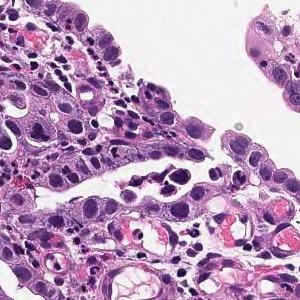
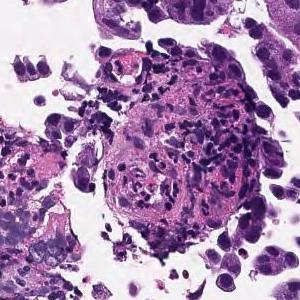
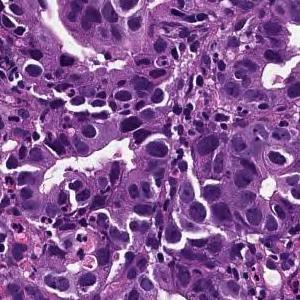
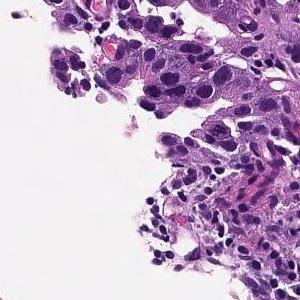
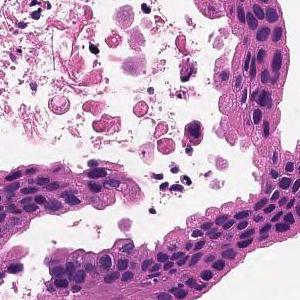
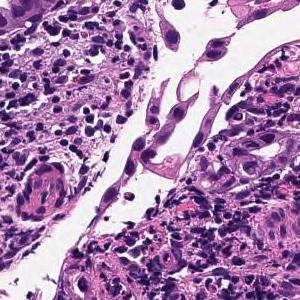
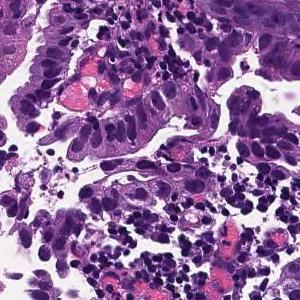
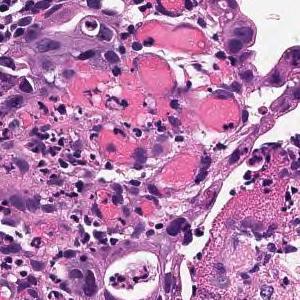
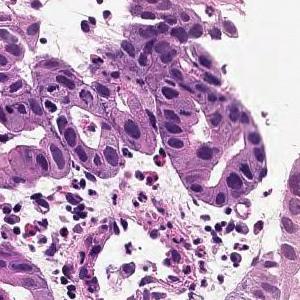
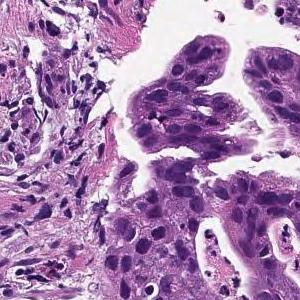
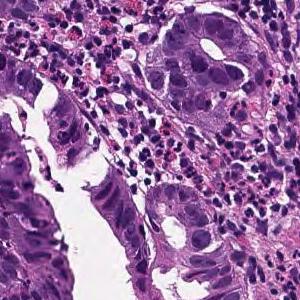
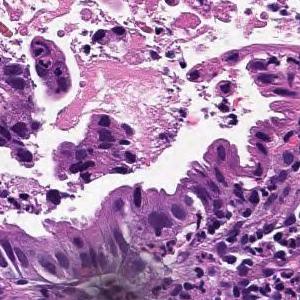
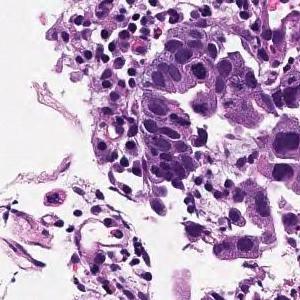
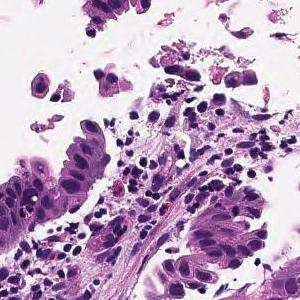
H&E; ×20; 14 patches cut from one gastric biopsy slide.
The pathologist's report on the biopsy slide these tiles were taken from. The report and the diagnosis cover the entire slide, so not every feature they name need be visible here, and some tissue shown may not be tumor.
In the superficial epithelium, tumor tissue that invades by forming medium-sized to small, irregular ducts is observed. moderately differentiated tubular adenocarcinoma.
